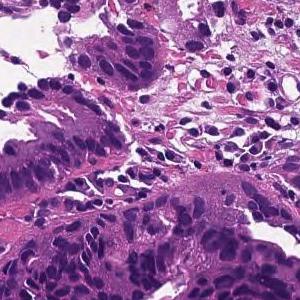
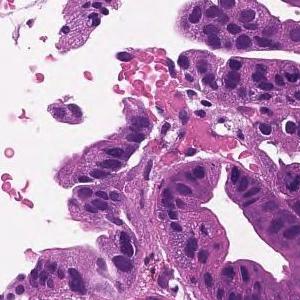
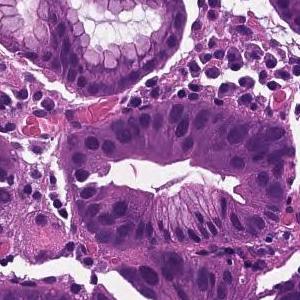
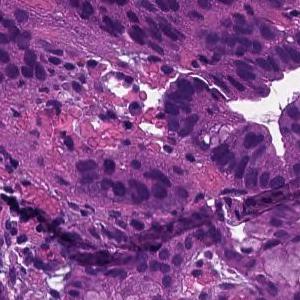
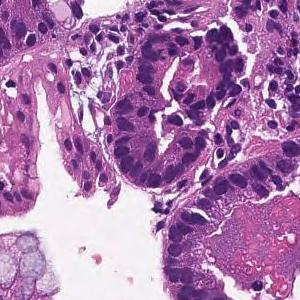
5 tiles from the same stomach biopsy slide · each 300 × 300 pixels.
Pathology report for the slide these tiles were cut from. Both the report and the diagnosis are for the whole slide: these tiles need not show every feature named, and some of the tissue shown may not be tumor.
From the superficial epithelium to the muscularis mucosae, tumor tissue consisting of medium-sized and irregular glandular ducts infiltrating is observed. Well differentiated tubular adenocarcinoma
